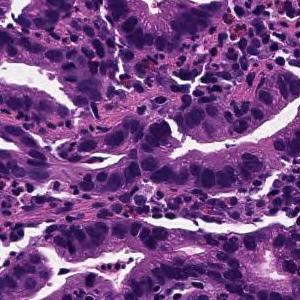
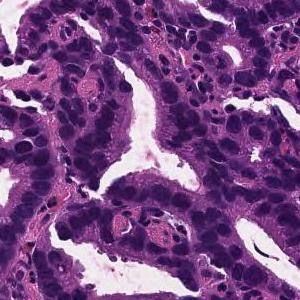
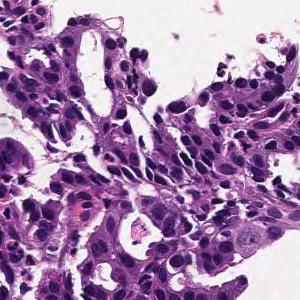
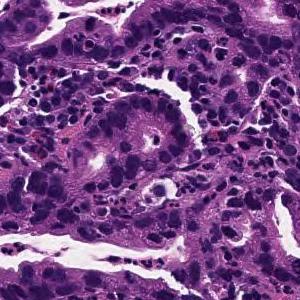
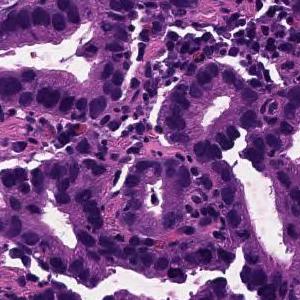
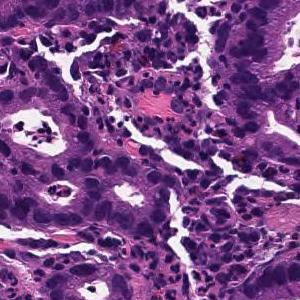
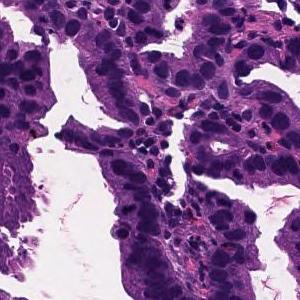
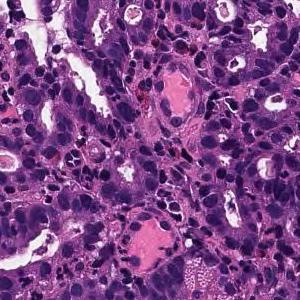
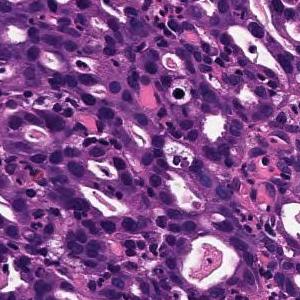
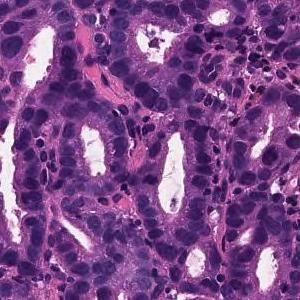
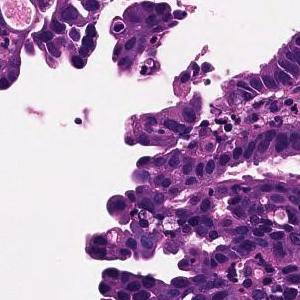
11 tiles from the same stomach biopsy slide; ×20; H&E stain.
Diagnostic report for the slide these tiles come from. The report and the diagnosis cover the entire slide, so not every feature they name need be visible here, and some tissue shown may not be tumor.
On the superficial epithelium, tumor tissue is found in which medium-sized irregular gland ducts fuse with each other and infiltrate. moderately differentiated tubular adenocarcinoma
